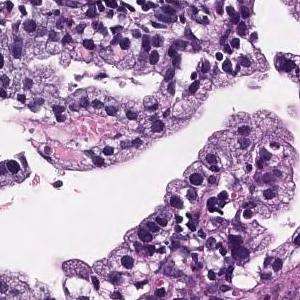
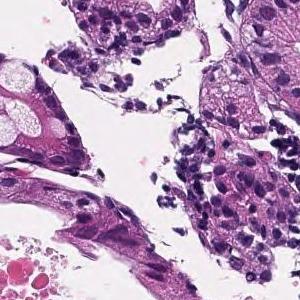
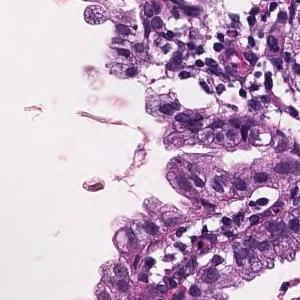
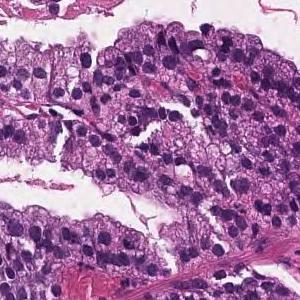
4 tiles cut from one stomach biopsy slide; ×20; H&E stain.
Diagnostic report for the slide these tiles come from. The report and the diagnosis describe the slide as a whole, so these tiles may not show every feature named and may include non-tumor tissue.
In the superficial epithelium, tumor tissue that infiltrates by forming medium-sized papillary or small irregular ducts is observed. Papillary adenocarcinoma
